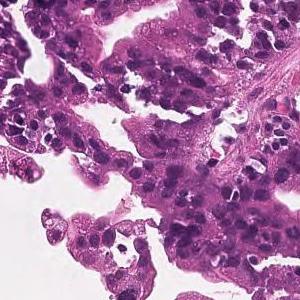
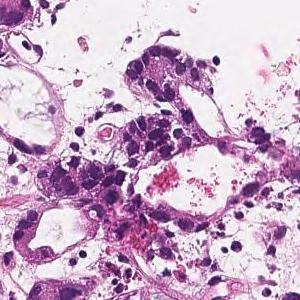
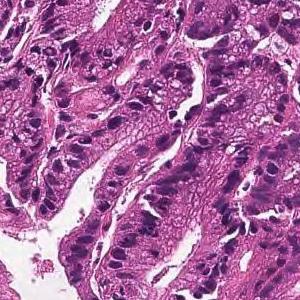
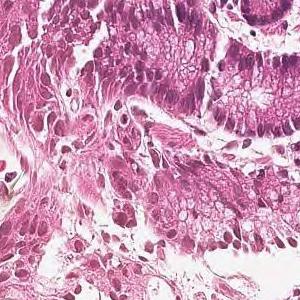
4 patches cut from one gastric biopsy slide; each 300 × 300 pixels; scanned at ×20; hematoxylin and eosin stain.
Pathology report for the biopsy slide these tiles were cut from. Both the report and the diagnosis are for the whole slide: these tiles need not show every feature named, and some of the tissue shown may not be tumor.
In the superficial epithelium, tumor tissue that invades by forming medium-sized to small, irregular ducts is observed. moderately differentiated tubular adenocarcinoma.
